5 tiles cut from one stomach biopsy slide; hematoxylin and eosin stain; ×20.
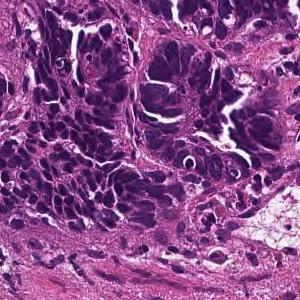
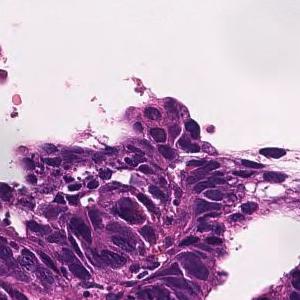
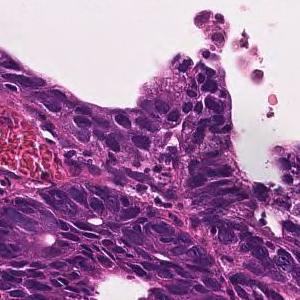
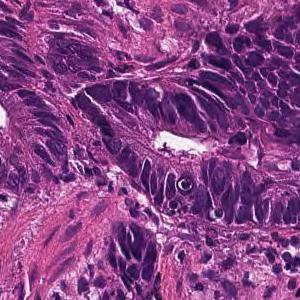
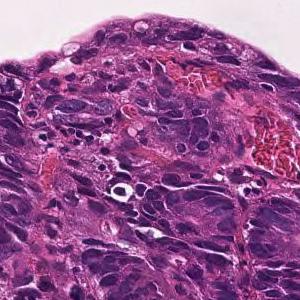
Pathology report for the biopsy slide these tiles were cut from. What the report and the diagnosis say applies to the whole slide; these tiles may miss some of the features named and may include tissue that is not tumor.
In the superficial epithelium, tumor tissue that invades by forming medium-sized to small, irregular ducts is observed. moderately differentiated tubular adenocarcinoma.
